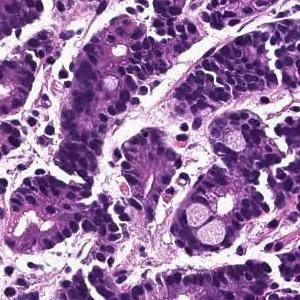
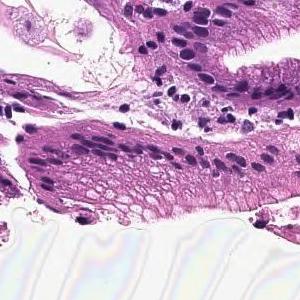
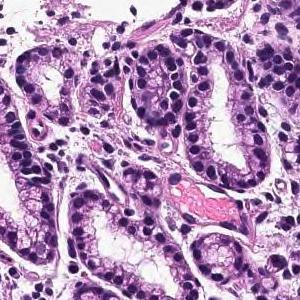
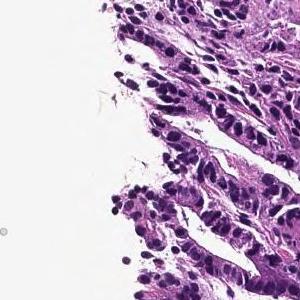
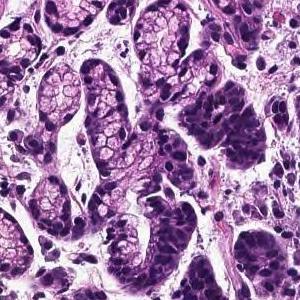
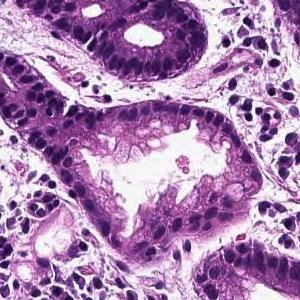
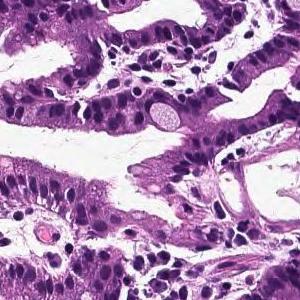
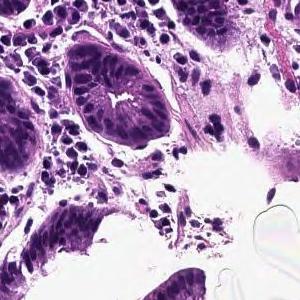
20× magnification, 8 tiles from the same stomach biopsy slide, each 300 × 300 pixels.
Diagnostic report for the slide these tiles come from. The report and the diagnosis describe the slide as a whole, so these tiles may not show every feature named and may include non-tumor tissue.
In the superficial epithelium, tumor tissue that invades by forming medium-sized to small, irregular ducts is observed. moderately differentiated tubular adenocarcinoma.
